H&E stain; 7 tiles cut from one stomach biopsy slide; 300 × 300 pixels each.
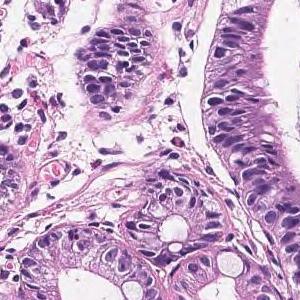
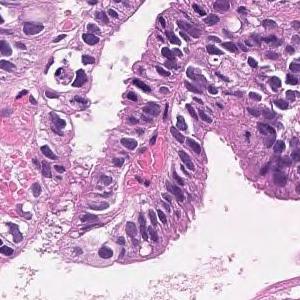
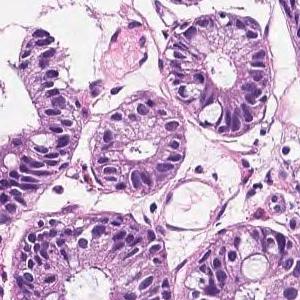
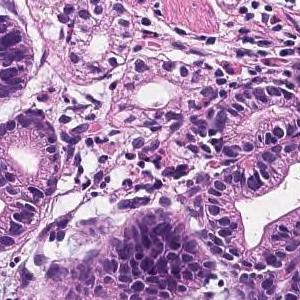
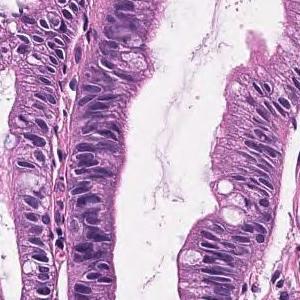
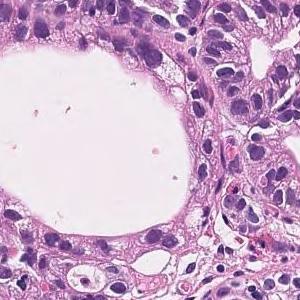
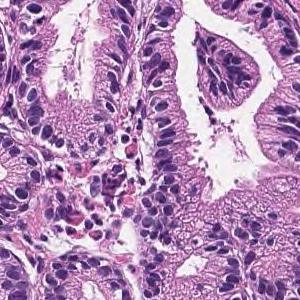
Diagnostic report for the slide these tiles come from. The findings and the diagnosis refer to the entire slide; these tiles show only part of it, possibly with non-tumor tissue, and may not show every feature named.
In the superficial epithelium, tumor tissue that invades by forming medium-sized to small, irregular ducts is observed. Well differentiated tubular adenocarcinoma.
